14 image tiles from a single gastric biopsy slide; ×20; hematoxylin and eosin stain.
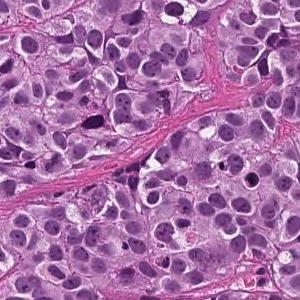
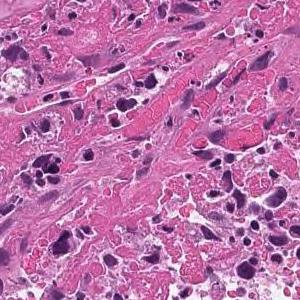
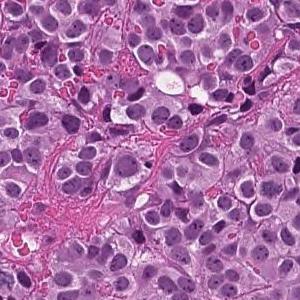
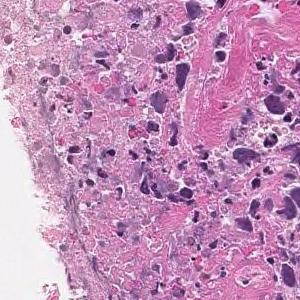
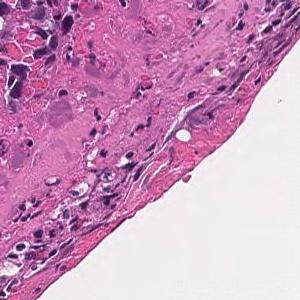
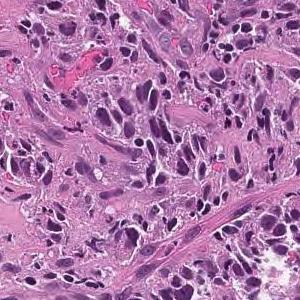
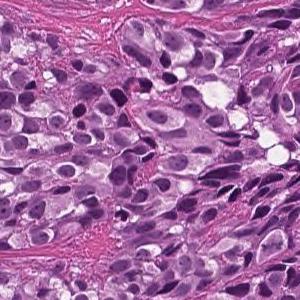
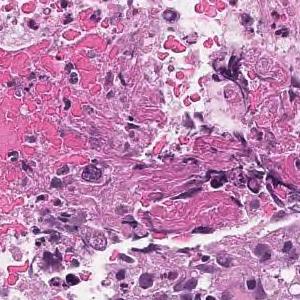
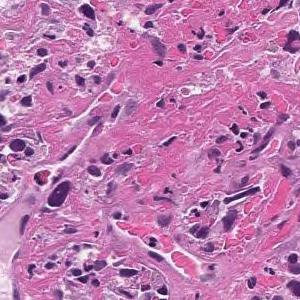
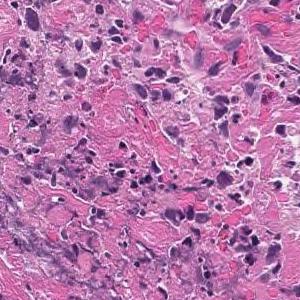
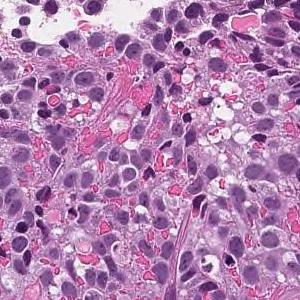
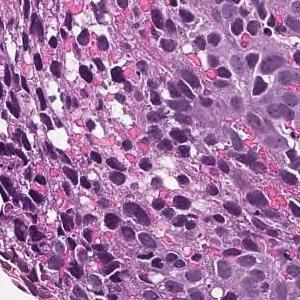
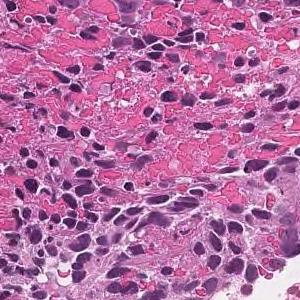
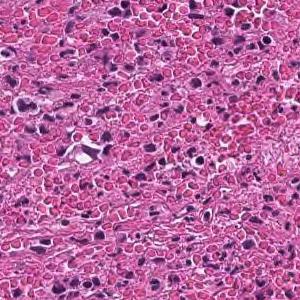
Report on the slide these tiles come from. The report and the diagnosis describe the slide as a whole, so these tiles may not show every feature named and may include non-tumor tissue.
The superficial epithelium shows a large sheet-like shape, and some tumor tissue infiltrates with small irregular ducts. Poorly differentiated adenocarcinoma, solid-type
Subtype: Poorly differentiated adenocarcinoma, solid type. This name comes from the Japanese Classification of Gastric Carcinoma; the WHO 2019 classification calls it tubular adenocarcinoma, poorly differentiated.
